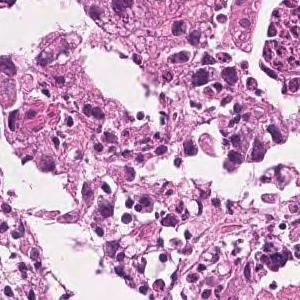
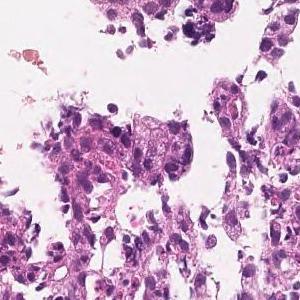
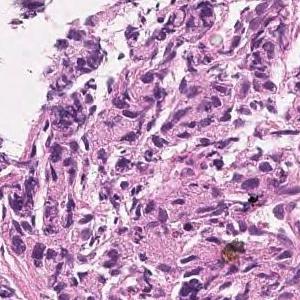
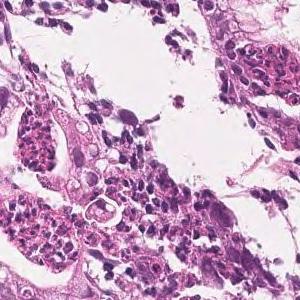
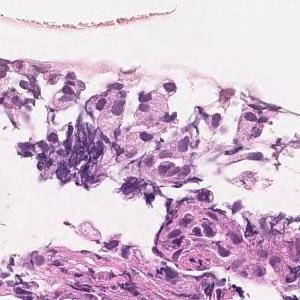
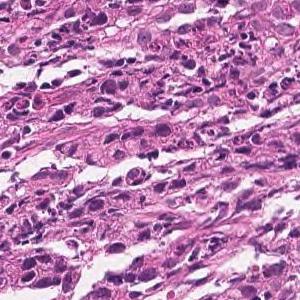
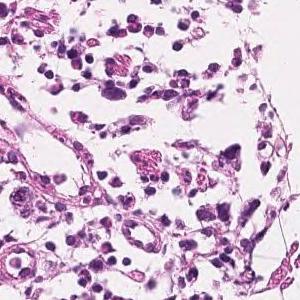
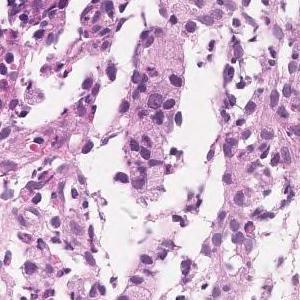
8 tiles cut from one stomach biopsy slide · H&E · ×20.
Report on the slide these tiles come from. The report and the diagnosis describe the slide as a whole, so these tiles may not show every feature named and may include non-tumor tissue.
In the superficial epithelium, medium to small, irregular glandular ducts are formed, and in some parts, the glandular ducts are fused, and in other parts, small cord-like infiltrating tumor tissue is observed. Moderately to poorly differentiated adenocarcinoma.
